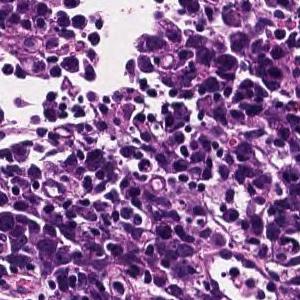
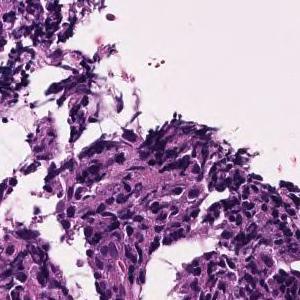
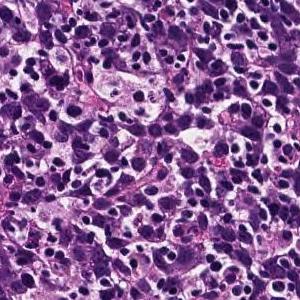
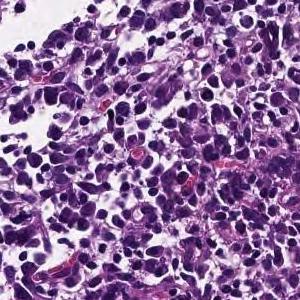
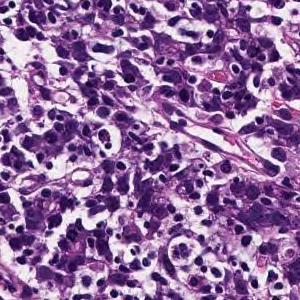
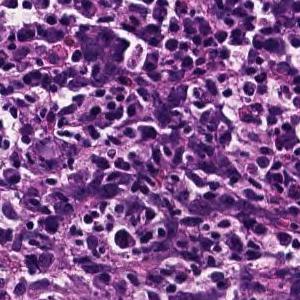
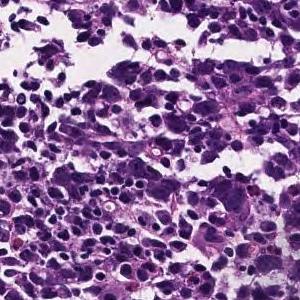
H&E stain; scanned at ×20; 7 patches cut from one gastric biopsy slide.
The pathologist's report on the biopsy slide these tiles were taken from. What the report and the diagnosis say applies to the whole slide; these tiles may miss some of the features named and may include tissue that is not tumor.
Tumor tissue consisting of cord-like or small, irregular glandular ducts fused and infiltrated is observed in the superficial epithelium. Poorly differentiated adenocarcinoma, non-solid type
"Non-solid type" is a category of the Japanese Classification of Gastric Carcinoma.
